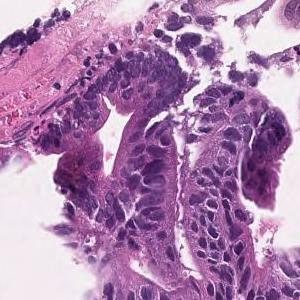
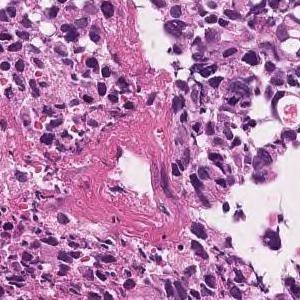
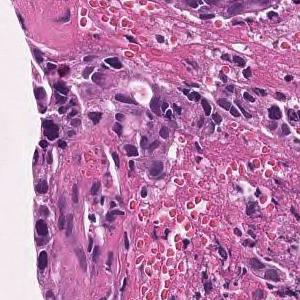
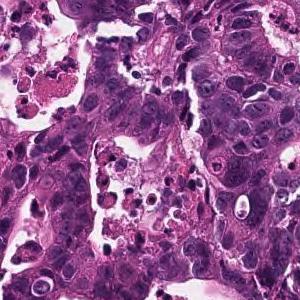
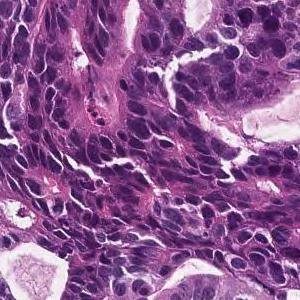
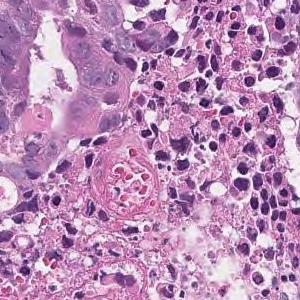
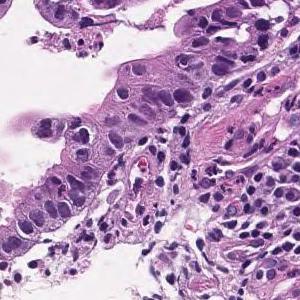
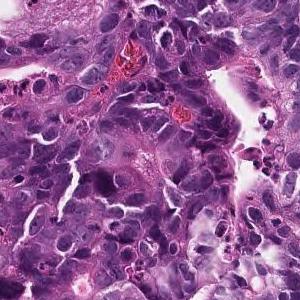
Scanned at ×20; hematoxylin and eosin stain; 8 tiles from the same stomach biopsy slide; 300×300 px each.
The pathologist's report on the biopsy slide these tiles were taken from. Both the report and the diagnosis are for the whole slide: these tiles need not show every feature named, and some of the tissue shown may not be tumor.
In the superficial epithelium, tumor tissue that invades by forming medium-sized to small, irregular ducts is observed. moderately differentiated tubular adenocarcinoma.
